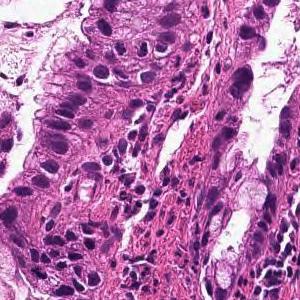
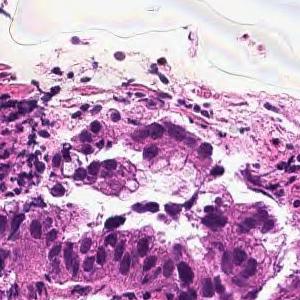
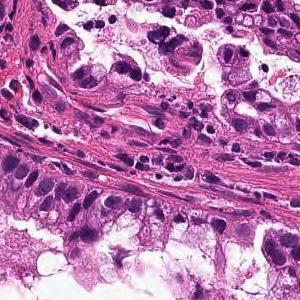
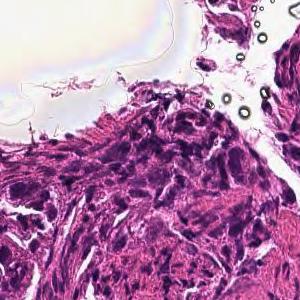
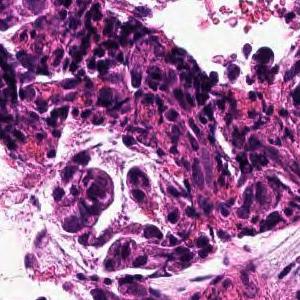
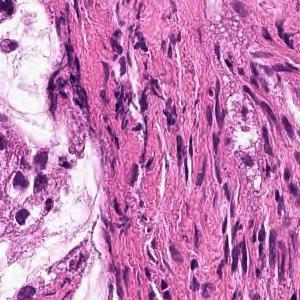
Scanned at ×20, hematoxylin and eosin stain, 6 image tiles from a single gastric biopsy slide.
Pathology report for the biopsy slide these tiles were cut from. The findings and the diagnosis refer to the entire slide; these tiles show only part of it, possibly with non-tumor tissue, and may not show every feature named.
From the superficial epithelium to the muscularis mucosae, tumor tissue infiltrating by forming medium-sized irregular gland ducts is observed. Well differentiated tubular adenocarcinoma
